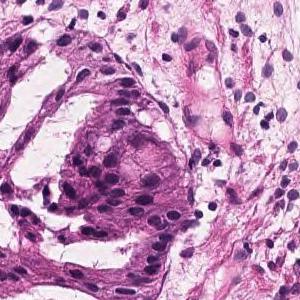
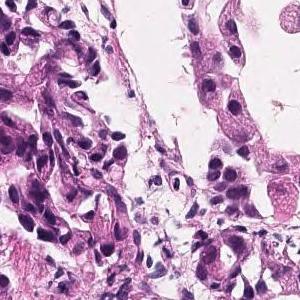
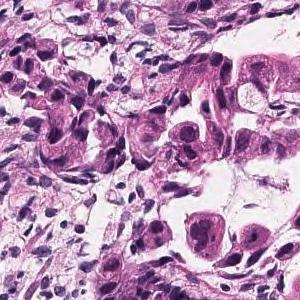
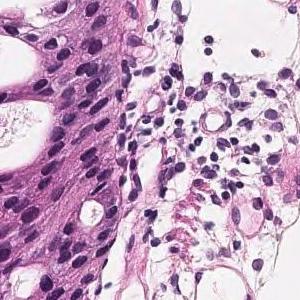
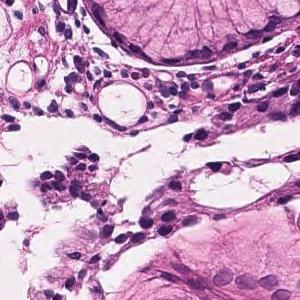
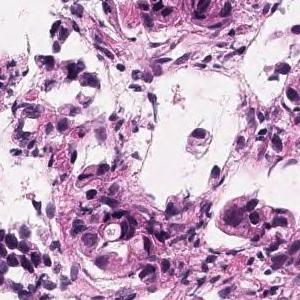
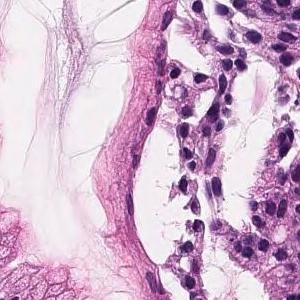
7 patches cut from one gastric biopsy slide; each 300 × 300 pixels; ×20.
The pathologist's report on the biopsy slide these tiles were taken from. Both the report and the diagnosis are for the whole slide: these tiles need not show every feature named, and some of the tissue shown may not be tumor.
In the superficial epithelium, tumor tissue that invades by forming medium-sized to small, irregular ducts is observed. moderately differentiated tubular adenocarcinoma.
